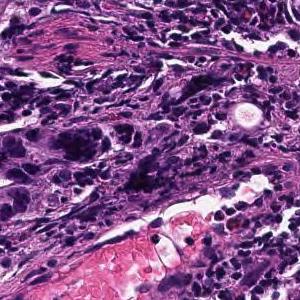
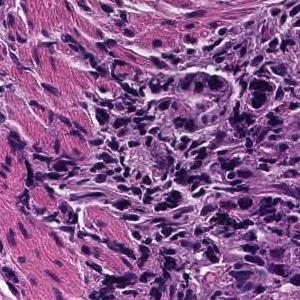
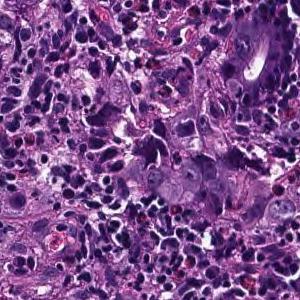
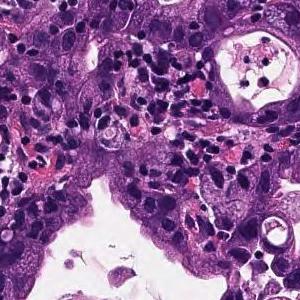
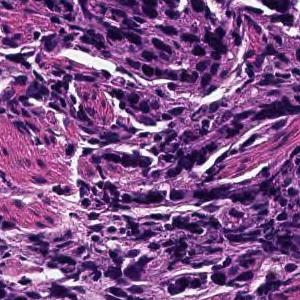
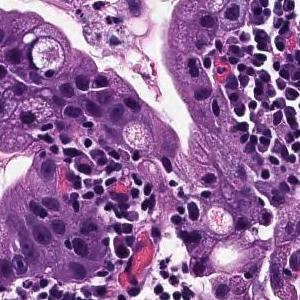
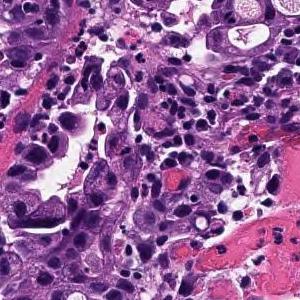
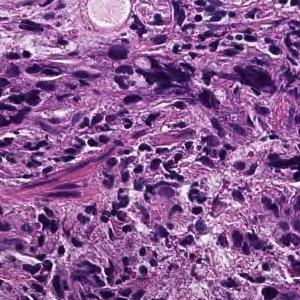
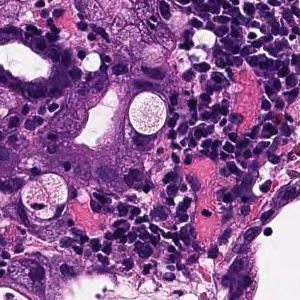
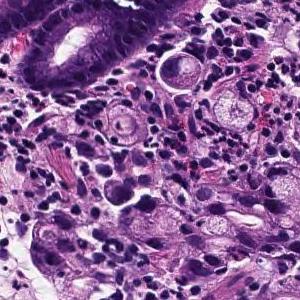
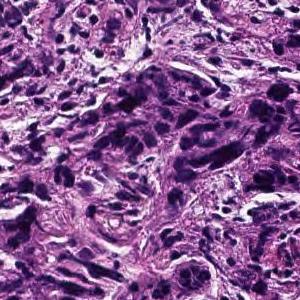
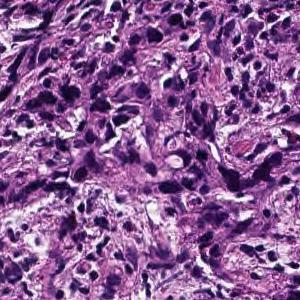
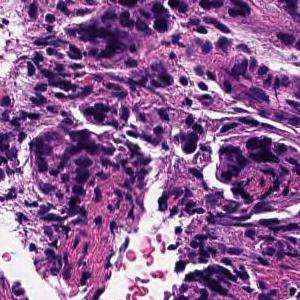
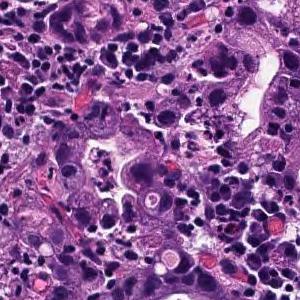
20× magnification · H&E · 14 patches cut from one gastric biopsy slide · each 300 × 300 pixels.
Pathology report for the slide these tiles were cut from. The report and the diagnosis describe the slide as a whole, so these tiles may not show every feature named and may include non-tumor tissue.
Tumor tissue consisting of medium-sized, cord-like or irregular glandular infiltration is observed in the superficial epithelium. Poorly differentiated adenocarcinoma, non-solid type or moderately differentiated tubular adenocarcinoma
Tumor subtype: moderately to poorly differentiated adenocarcinoma.
The non-solid type named here is a Japanese Classification of Gastric Carcinoma category.
